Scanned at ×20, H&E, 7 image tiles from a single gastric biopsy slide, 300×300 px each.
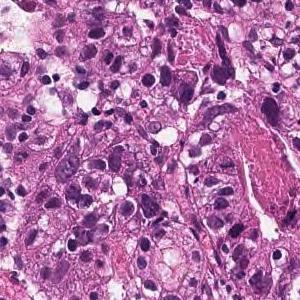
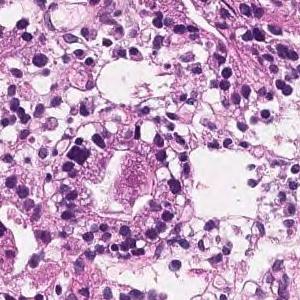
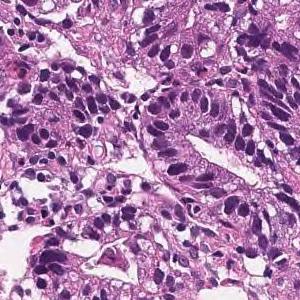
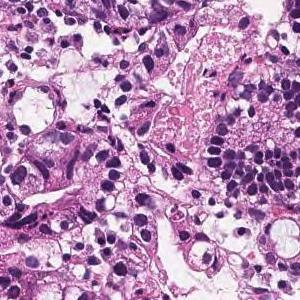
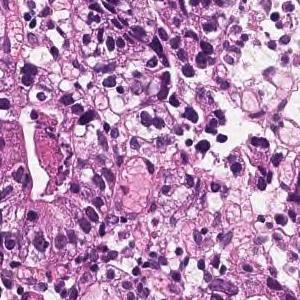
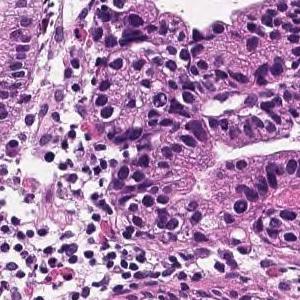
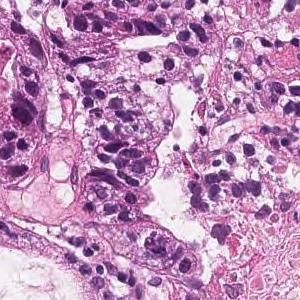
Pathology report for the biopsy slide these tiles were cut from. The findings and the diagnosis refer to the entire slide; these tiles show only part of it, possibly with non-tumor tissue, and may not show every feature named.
In the superficial epithelium, tumor tissue that invades by forming medium-sized to small, irregular ducts is observed. moderately differentiated tubular adenocarcinoma.
